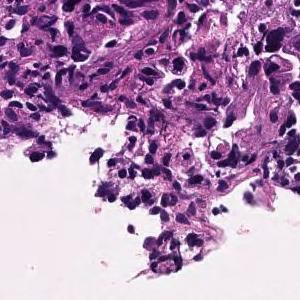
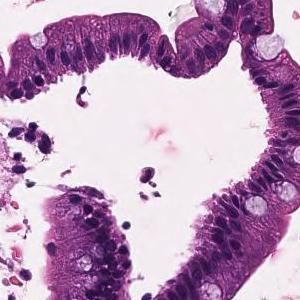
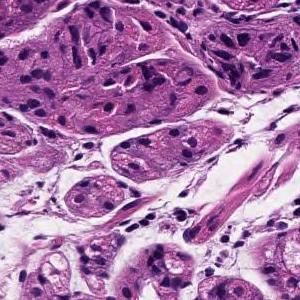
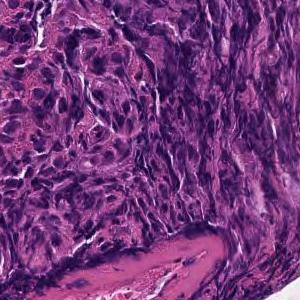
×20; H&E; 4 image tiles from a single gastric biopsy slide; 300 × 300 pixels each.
Pathology report for the slide these tiles were cut from. What the report and the diagnosis say applies to the whole slide; these tiles may miss some of the features named and may include tissue that is not tumor.
In the superficial epithelium, tumor tissue that invades by forming medium-sized to small, irregular ducts is observed. moderately differentiated tubular adenocarcinoma.
